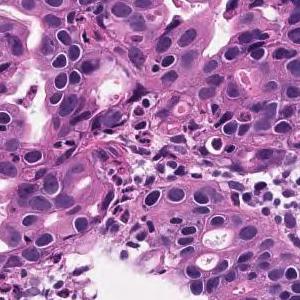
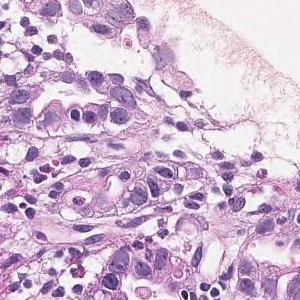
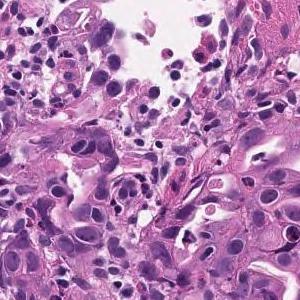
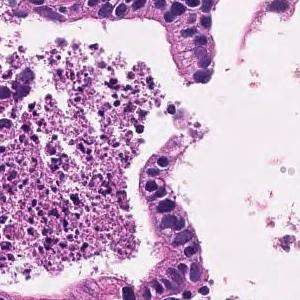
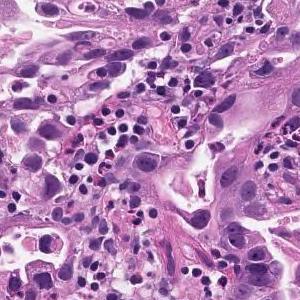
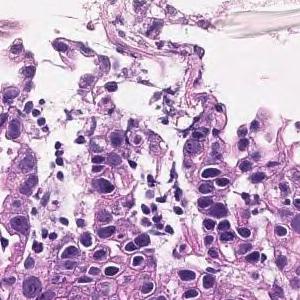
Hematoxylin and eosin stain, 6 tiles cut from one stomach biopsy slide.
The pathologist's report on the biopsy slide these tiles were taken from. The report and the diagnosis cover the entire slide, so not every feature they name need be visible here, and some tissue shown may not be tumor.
In the superficial epithelium, tumor tissue that invades by forming medium-sized to small, irregular ducts is observed. moderately differentiated tubular adenocarcinoma.
